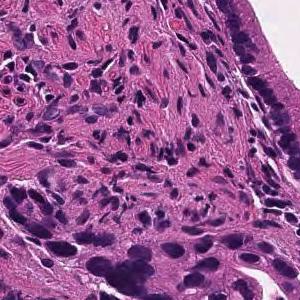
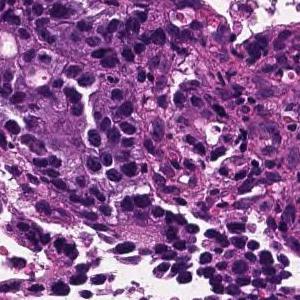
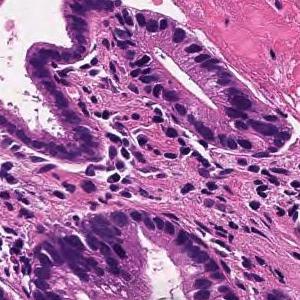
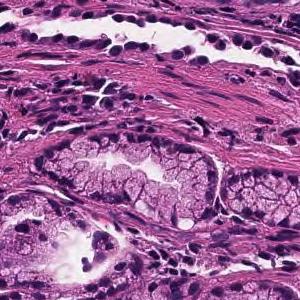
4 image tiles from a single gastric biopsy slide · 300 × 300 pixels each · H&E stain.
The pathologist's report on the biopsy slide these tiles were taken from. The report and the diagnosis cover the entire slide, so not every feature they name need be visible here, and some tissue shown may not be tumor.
From the superficial epithelium to the muscularis mucosae, tumor tissue consisting of medium-sized and irregular glandular ducts infiltrating is observed. Well differentiated tubular adenocarcinoma
